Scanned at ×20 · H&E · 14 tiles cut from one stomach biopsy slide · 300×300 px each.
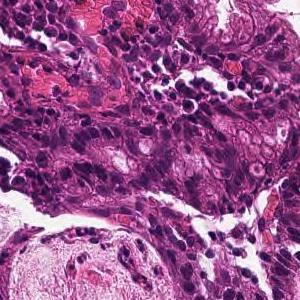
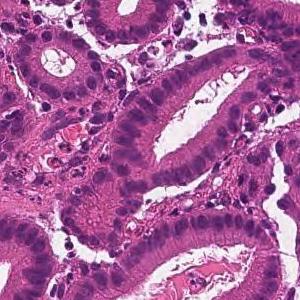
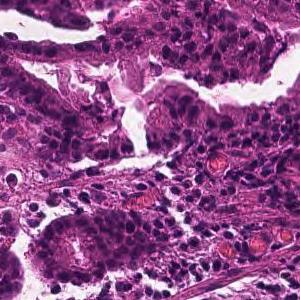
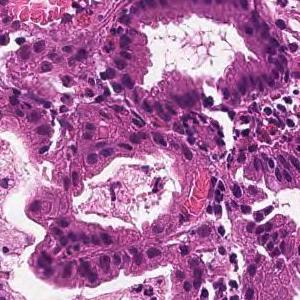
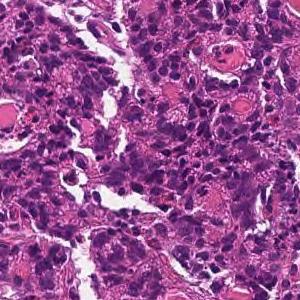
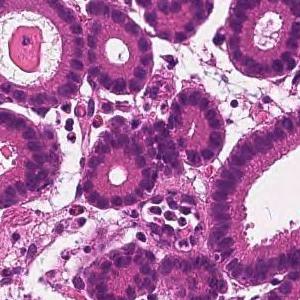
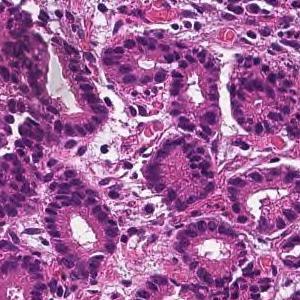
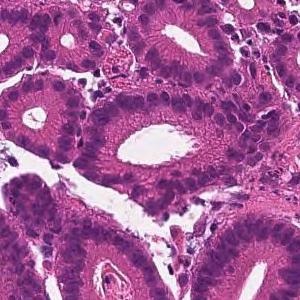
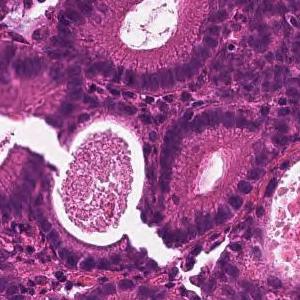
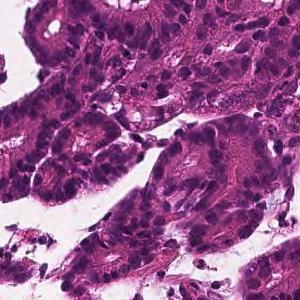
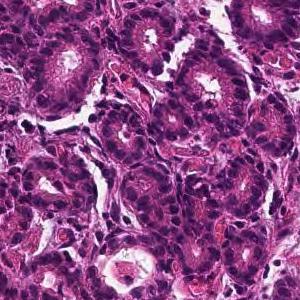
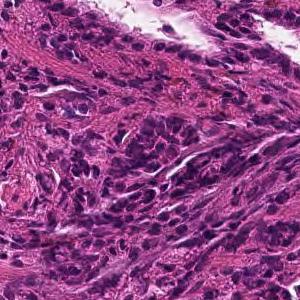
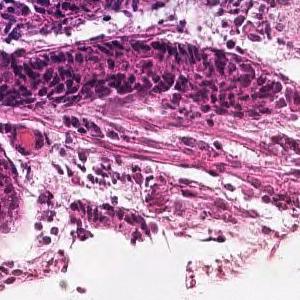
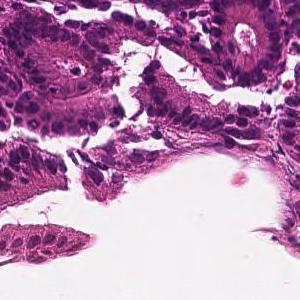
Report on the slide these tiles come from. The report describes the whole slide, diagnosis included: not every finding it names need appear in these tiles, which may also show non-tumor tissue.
From the superficial epithelium to the muscularis mucosae, tumor tissue consisting of medium-sized and irregular glandular ducts infiltrating is observed. Well differentiated tubular adenocarcinoma
